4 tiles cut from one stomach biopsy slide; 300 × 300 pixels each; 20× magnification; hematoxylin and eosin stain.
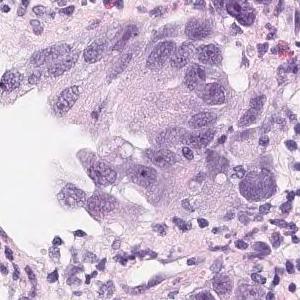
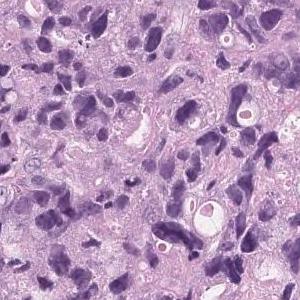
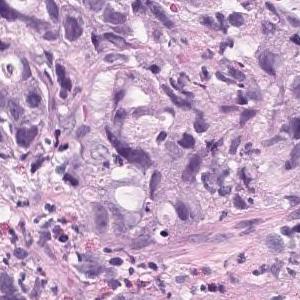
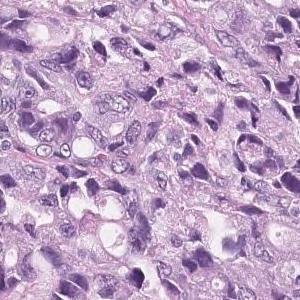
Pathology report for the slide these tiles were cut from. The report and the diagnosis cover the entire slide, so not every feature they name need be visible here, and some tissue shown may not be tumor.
Tumor tissue that infiltrates and proliferates by forming small glandular cavities in the superficial layer to the submucosa or forming a mass is observed. moderately differentiated tubular adenocarcinoma
